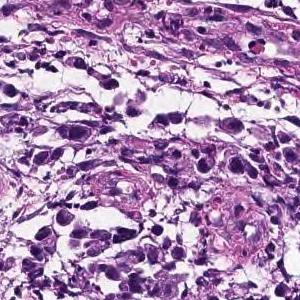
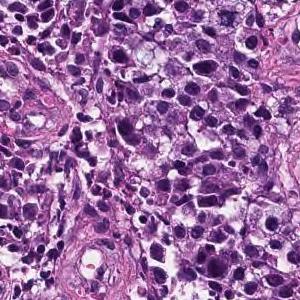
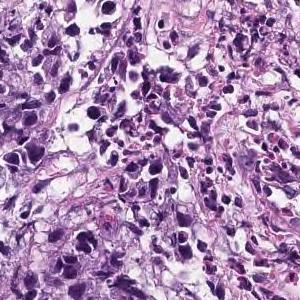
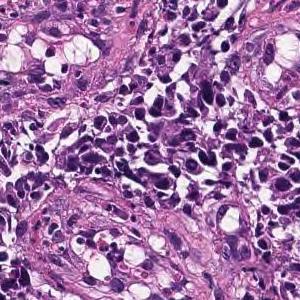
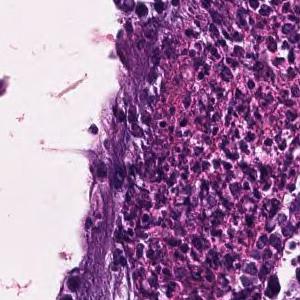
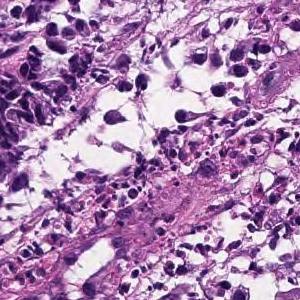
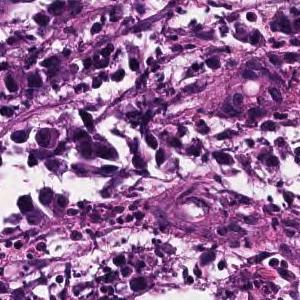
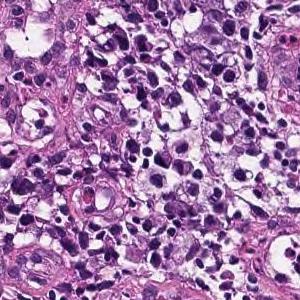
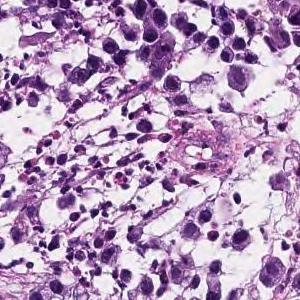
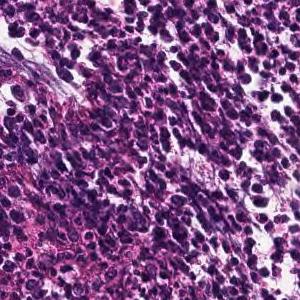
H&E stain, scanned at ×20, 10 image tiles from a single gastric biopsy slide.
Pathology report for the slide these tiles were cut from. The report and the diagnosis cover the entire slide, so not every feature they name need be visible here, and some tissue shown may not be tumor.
The superficial epithelium shows a small alveolar shape, and some tumor tissues infiltrate with a cord-like structure. Poorly differentiated adenocarcinoma, solid-type
Subtype: Poorly differentiated adenocarcinoma, solid type, a category of the Japanese Classification of Gastric Carcinoma; in the WHO 2019 classification it is tubular adenocarcinoma, poorly differentiated.
